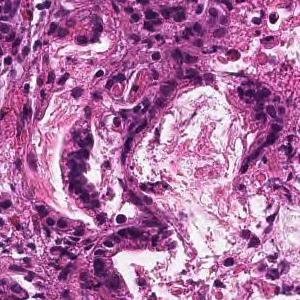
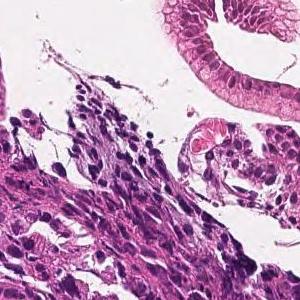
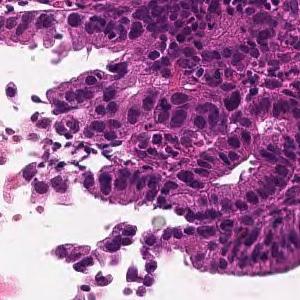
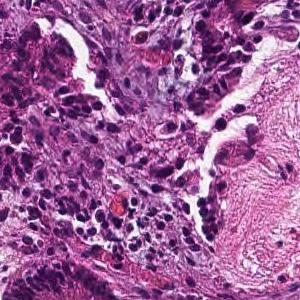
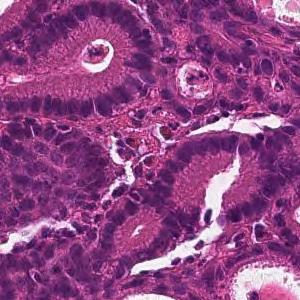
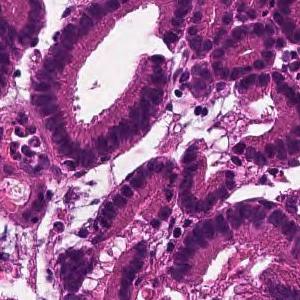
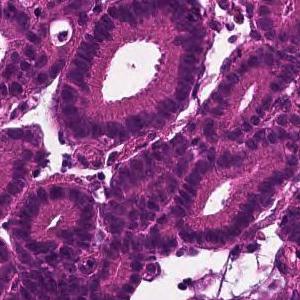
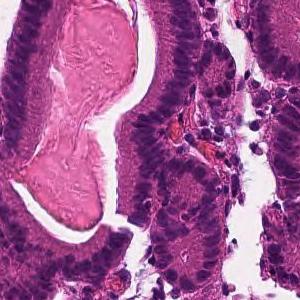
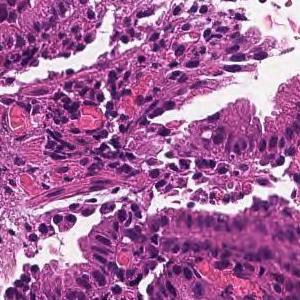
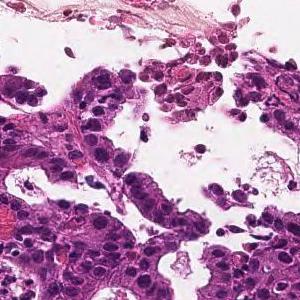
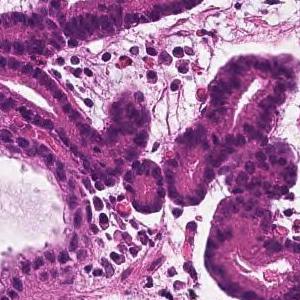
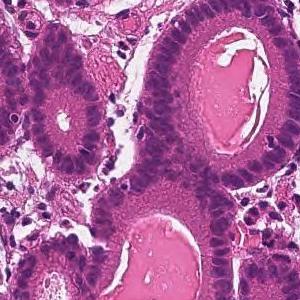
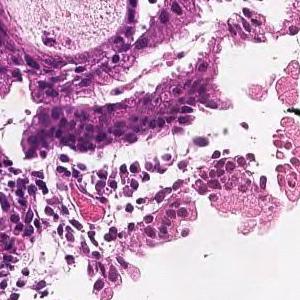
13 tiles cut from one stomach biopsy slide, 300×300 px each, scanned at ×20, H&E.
Diagnostic report for the slide these tiles come from. What the report and the diagnosis say applies to the whole slide; these tiles may miss some of the features named and may include tissue that is not tumor.
From the superficial epithelium to the muscularis mucosae, tumor tissue consisting of medium-sized and irregular glandular ducts infiltrating is observed. Well differentiated tubular adenocarcinoma
